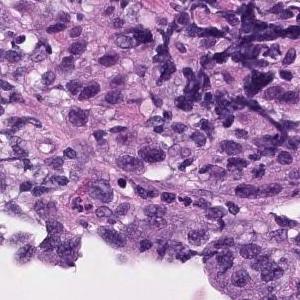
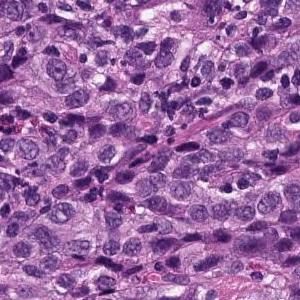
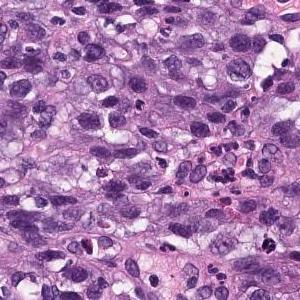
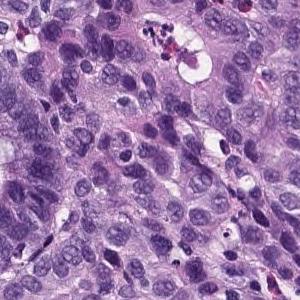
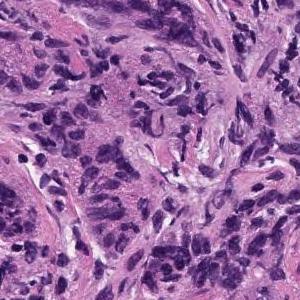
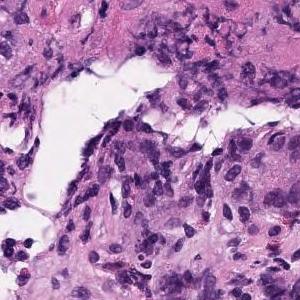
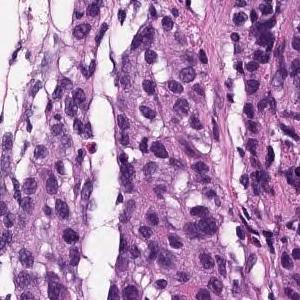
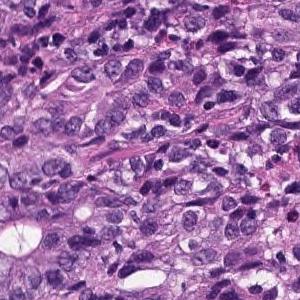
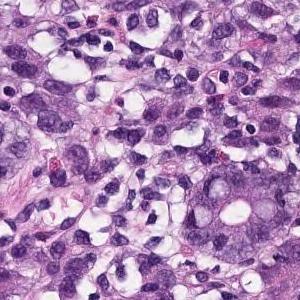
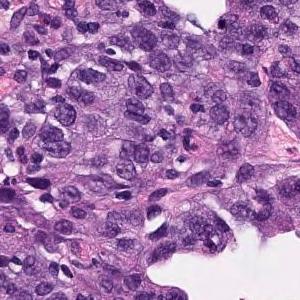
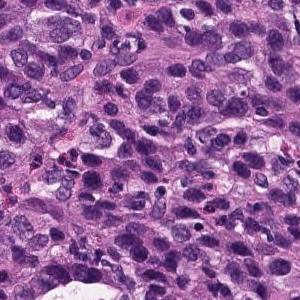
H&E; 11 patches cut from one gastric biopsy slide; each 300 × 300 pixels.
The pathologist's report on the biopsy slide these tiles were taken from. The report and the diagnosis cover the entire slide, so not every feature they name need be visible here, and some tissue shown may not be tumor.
In the superficial epithelium, tumor tissue that invades by forming medium-sized to small, irregular ducts is observed. Moderately differentiated adenocarcinoma.
Subtype: Moderately differentiated tubular adenocarcinoma.
